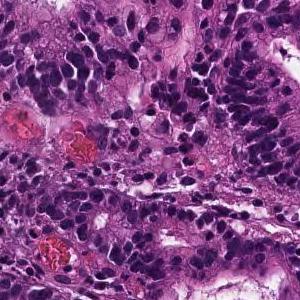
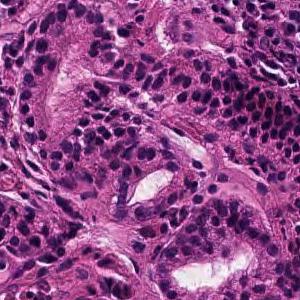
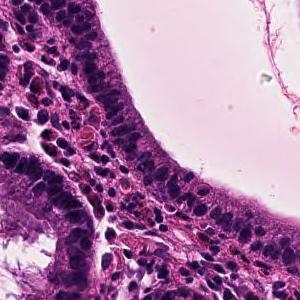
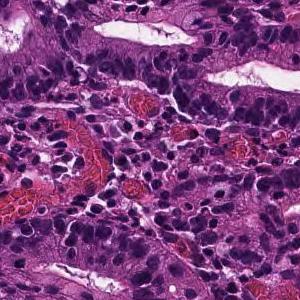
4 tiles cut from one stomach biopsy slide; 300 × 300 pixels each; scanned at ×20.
Pathology report for the slide these tiles were cut from. The report and the diagnosis cover the entire slide, so not every feature they name need be visible here, and some tissue shown may not be tumor.
In the superficial epithelium, tumor tissue that invades by forming medium-sized to small, irregular ducts is observed. moderately differentiated tubular adenocarcinoma.
